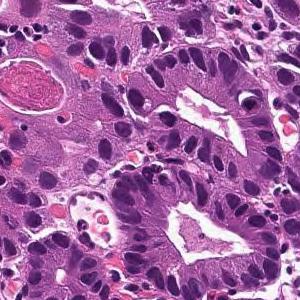
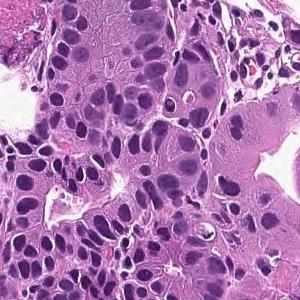
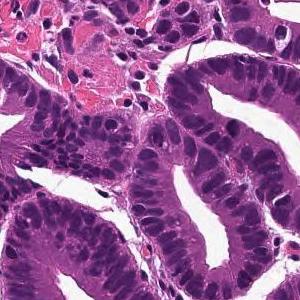
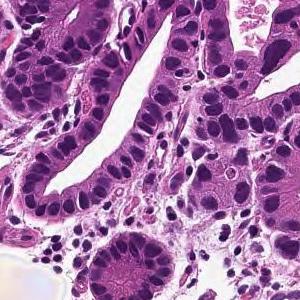
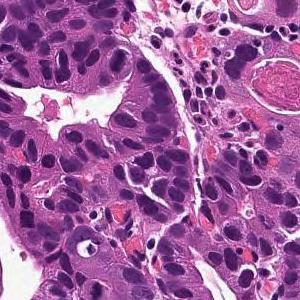
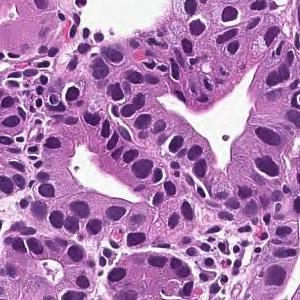
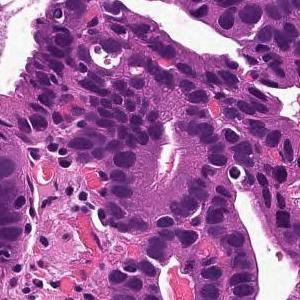
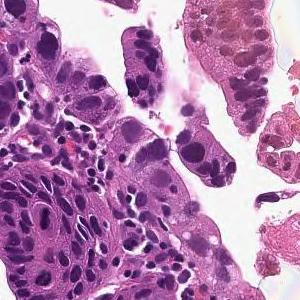
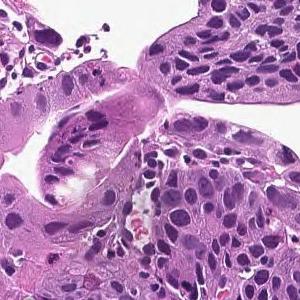
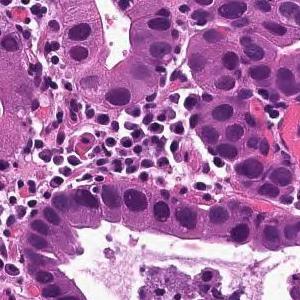
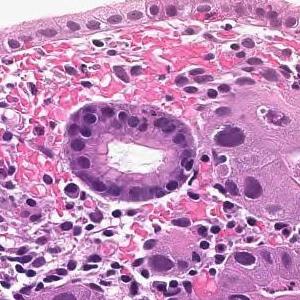
11 tiles cut from one stomach biopsy slide · scanned at ×20 · H&E stain.
The pathologist's report on the biopsy slide these tiles were taken from. The report and the diagnosis describe the slide as a whole, so these tiles may not show every feature named and may include non-tumor tissue.
From the superficial epithelium to the muscularis mucosae, tumor tissue consisting of medium-sized and irregular glandular ducts infiltrating is observed. Well differentiated tubular adenocarcinoma
